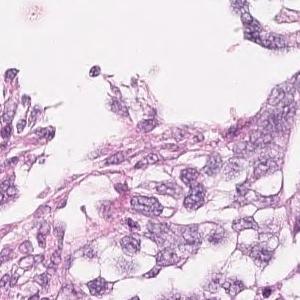
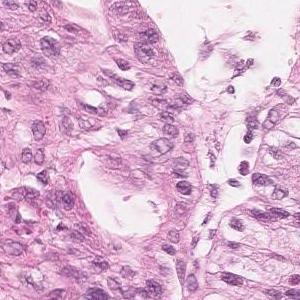
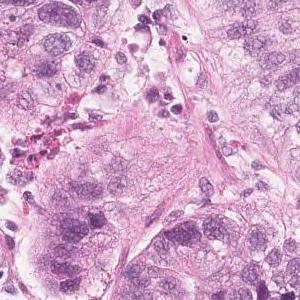
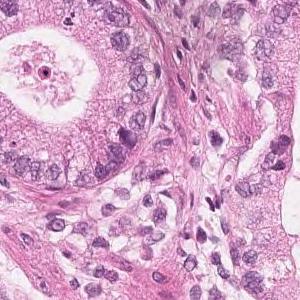
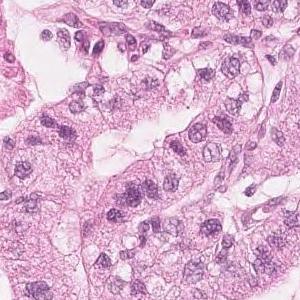
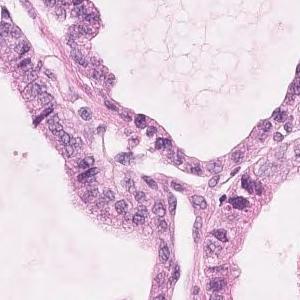
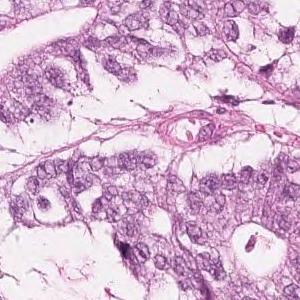
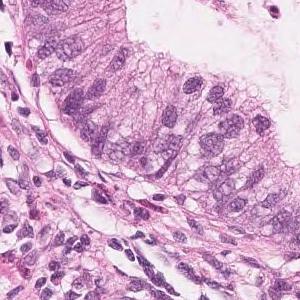
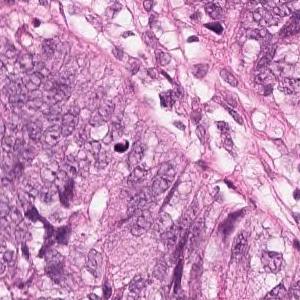
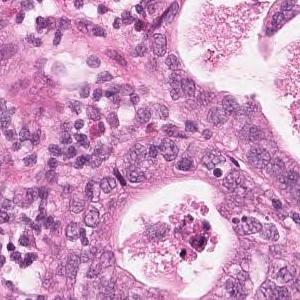
10 patches cut from one gastric biopsy slide · 300 × 300 pixels each.
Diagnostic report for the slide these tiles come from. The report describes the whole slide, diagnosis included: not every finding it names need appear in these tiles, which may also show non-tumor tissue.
Highly columnar epithelium with disordered nuclear localization proliferates showing fusion ductal construction. moderately differentiated tubular adenocarcinoma
